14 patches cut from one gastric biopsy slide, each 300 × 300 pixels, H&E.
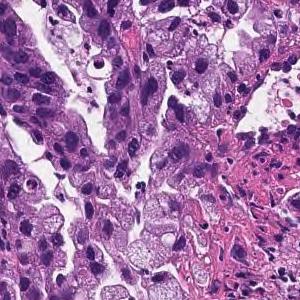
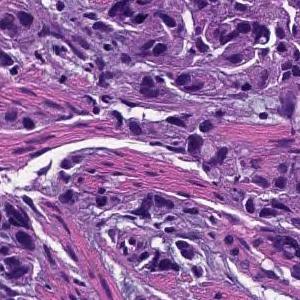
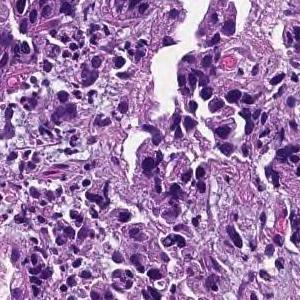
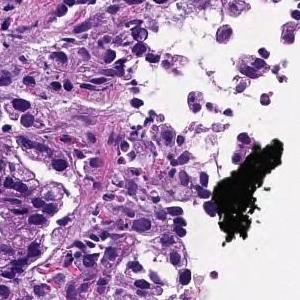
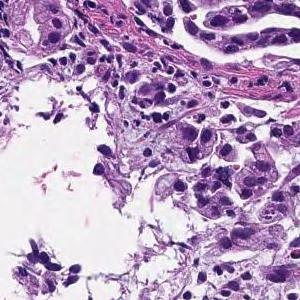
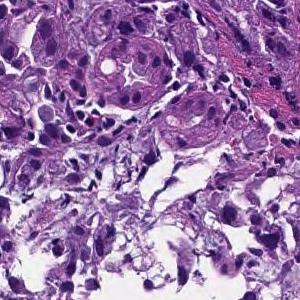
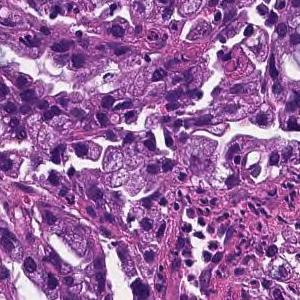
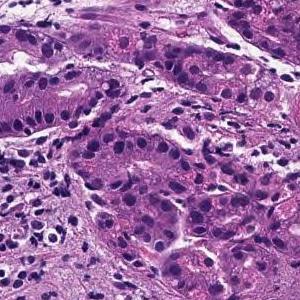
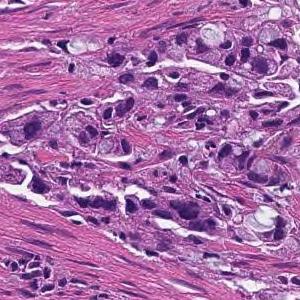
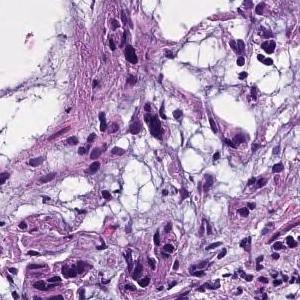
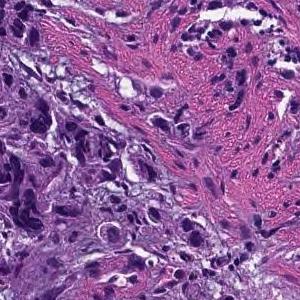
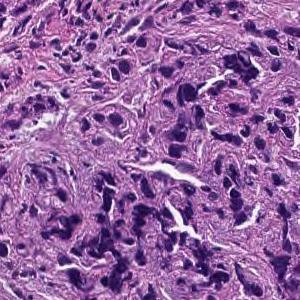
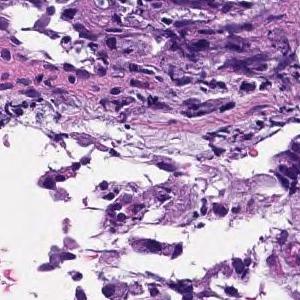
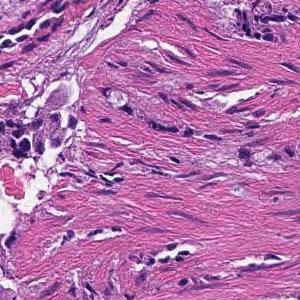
Diagnostic report for the slide these tiles come from. The findings and the diagnosis refer to the entire slide; these tiles show only part of it, possibly with non-tumor tissue, and may not show every feature named.
Tumor tissue consisting of medium-sized, cord-like or irregular glandular infiltration is observed in the superficial epithelium. Poorly differentiated adenocarcinoma, non-solid type or moderately differentiated tubular adenocarcinoma
Subtype: Moderately to poorly differentiated adenocarcinoma.
The term "non-solid type" comes from the Japanese Classification of Gastric Carcinoma.
